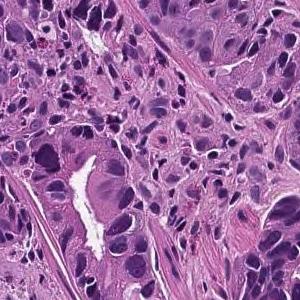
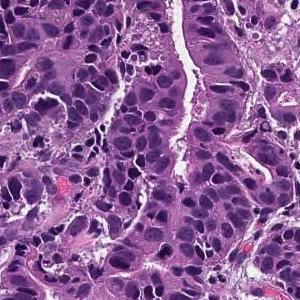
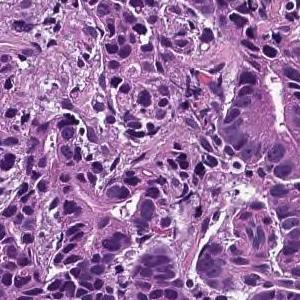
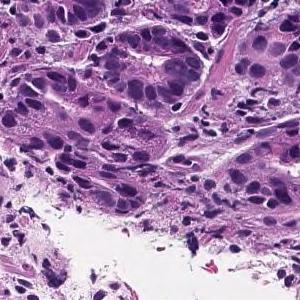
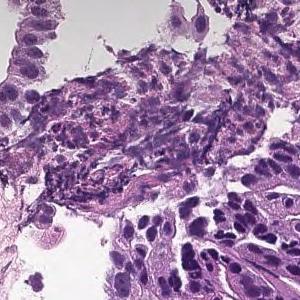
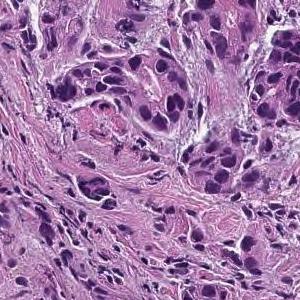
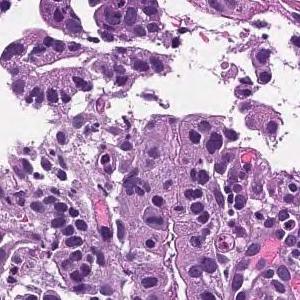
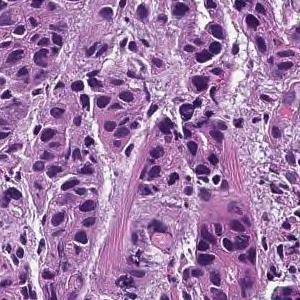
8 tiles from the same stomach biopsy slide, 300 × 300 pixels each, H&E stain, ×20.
The pathologist's report on the biopsy slide these tiles were taken from. The findings and the diagnosis refer to the entire slide; these tiles show only part of it, possibly with non-tumor tissue, and may not show every feature named.
In the superficial epithelium, tumor tissue that invades by forming medium-sized to small, irregular ducts is observed. moderately differentiated tubular adenocarcinoma.
